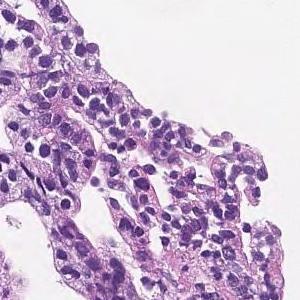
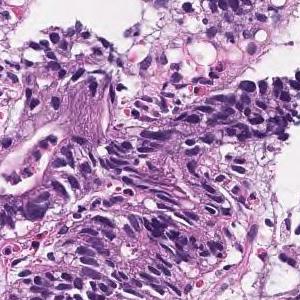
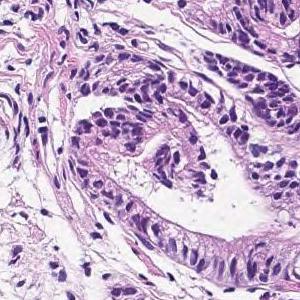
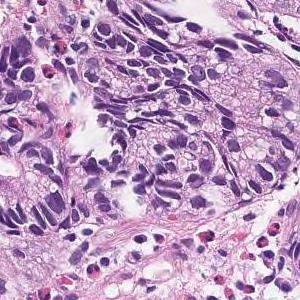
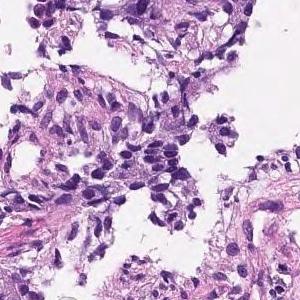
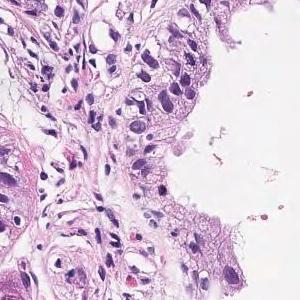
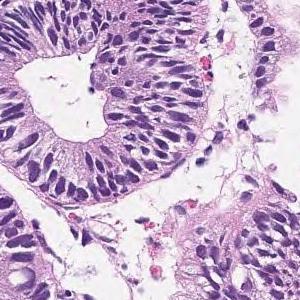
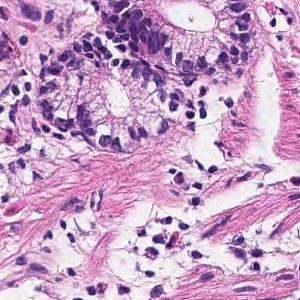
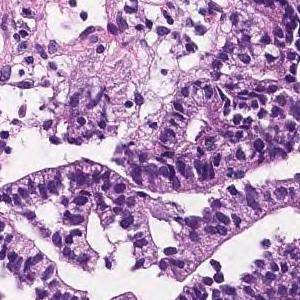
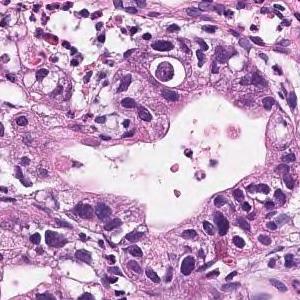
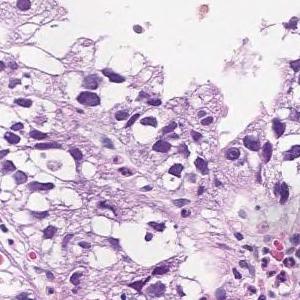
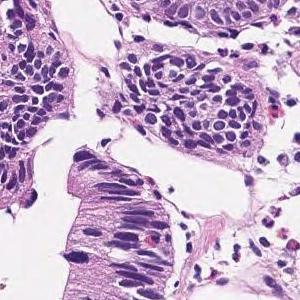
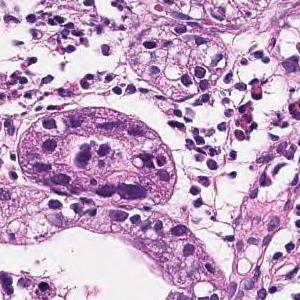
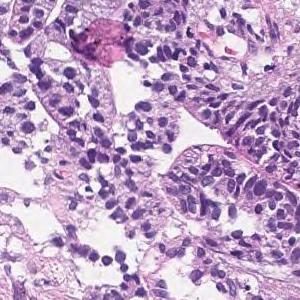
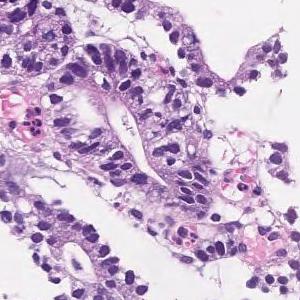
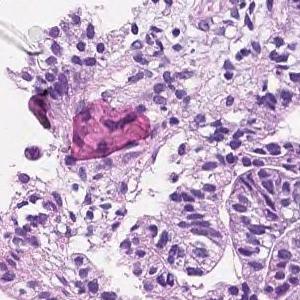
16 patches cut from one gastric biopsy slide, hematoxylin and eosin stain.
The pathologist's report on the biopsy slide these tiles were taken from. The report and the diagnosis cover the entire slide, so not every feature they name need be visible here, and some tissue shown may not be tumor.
In the superficial epithelium, tumor tissue that invades by forming medium-sized to small, irregular ducts is observed. Moderately differentiated adenocarcinoma.
Tumor subtype: moderately differentiated tubular adenocarcinoma.
